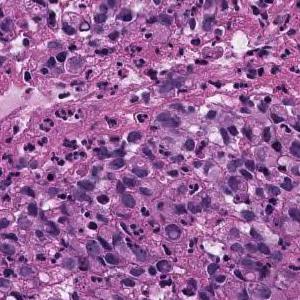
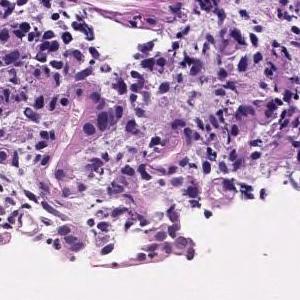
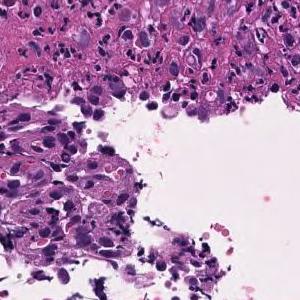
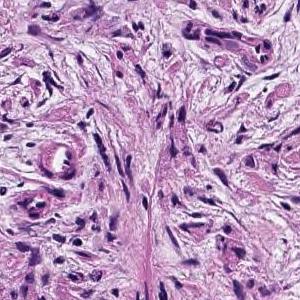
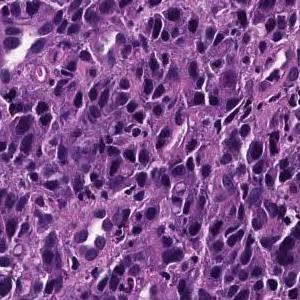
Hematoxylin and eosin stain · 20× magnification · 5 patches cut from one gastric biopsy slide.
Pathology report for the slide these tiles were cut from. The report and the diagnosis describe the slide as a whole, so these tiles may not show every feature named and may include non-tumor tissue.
The superficial epithelium shows a large sheet-like shape, and some tumor tissue infiltrates with small irregular ducts. Poorly differentiated adenocarcinoma, solid-type
Tumor subtype: poorly differentiated adenocarcinoma, solid type, a category of the Japanese Classification of Gastric Carcinoma; in the WHO 2019 classification it is tubular adenocarcinoma, poorly differentiated.
